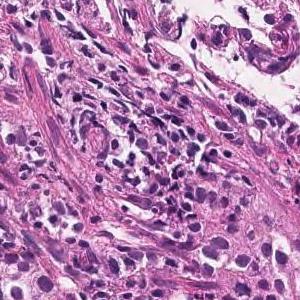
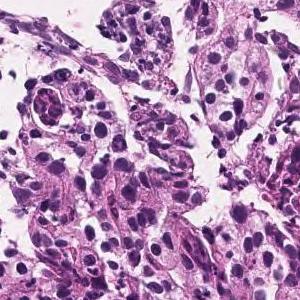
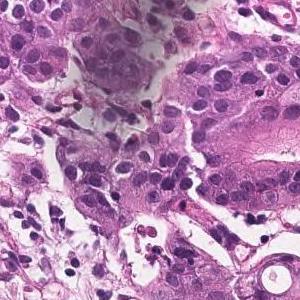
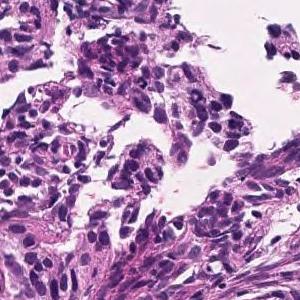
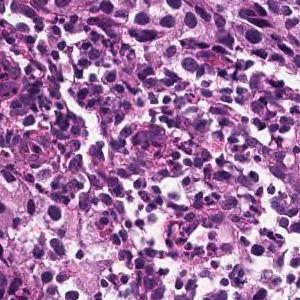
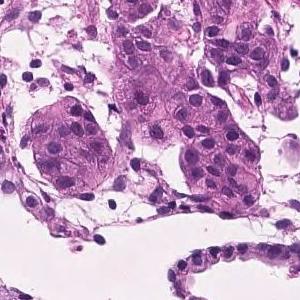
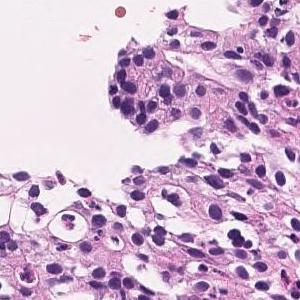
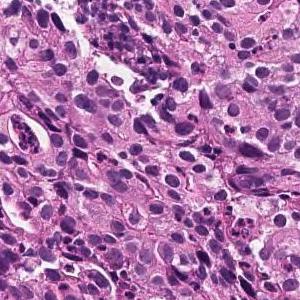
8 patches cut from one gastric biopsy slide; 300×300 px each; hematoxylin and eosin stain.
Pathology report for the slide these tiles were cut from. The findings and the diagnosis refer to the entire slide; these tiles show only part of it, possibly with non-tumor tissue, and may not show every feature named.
Medium to small, irregular glandular ducts are formed in the superficial epithelium, and in some cases, the glandular ducts are fused to show solid alveolar lesions and infiltrating tumor tissue is observed. Moderately to poorly differentiated adenocarcinoma.
